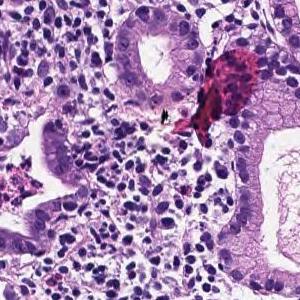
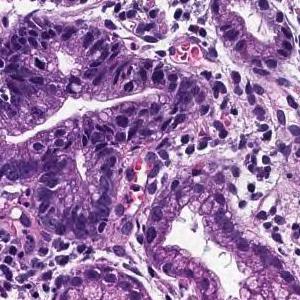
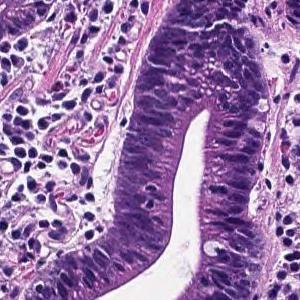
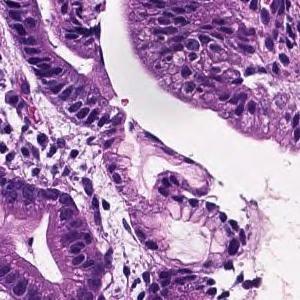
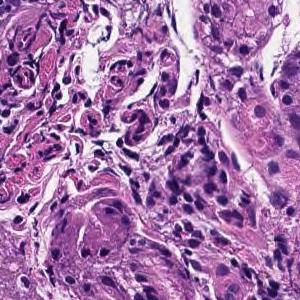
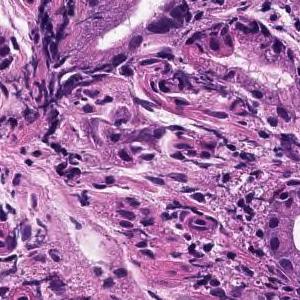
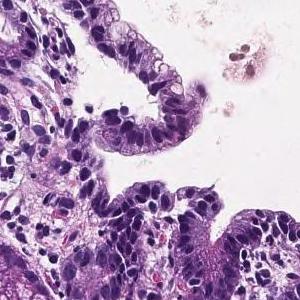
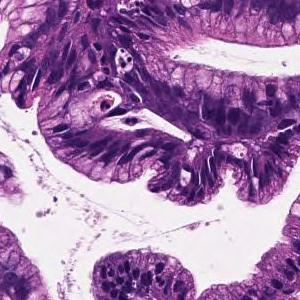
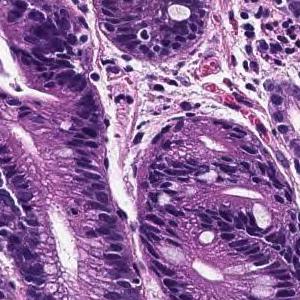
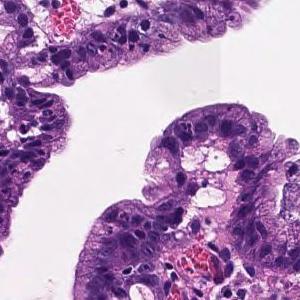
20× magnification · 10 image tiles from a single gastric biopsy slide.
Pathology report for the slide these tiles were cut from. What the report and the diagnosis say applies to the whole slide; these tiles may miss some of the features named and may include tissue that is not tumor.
From the superficial epithelium to the muscularis mucosae, tumor tissue consisting of medium-sized and irregular glandular ducts infiltrating is observed. Well differentiated tubular adenocarcinoma
